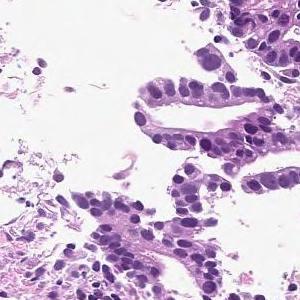
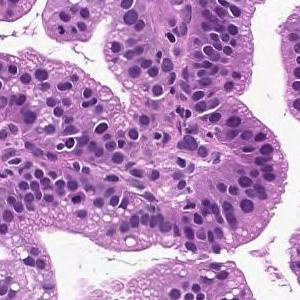
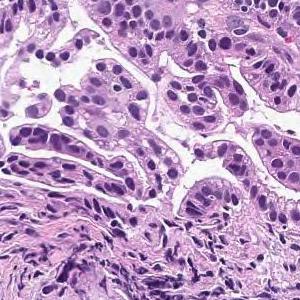
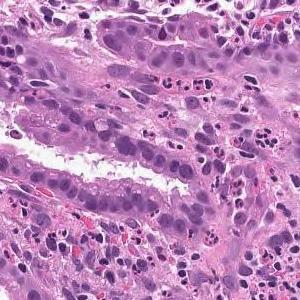
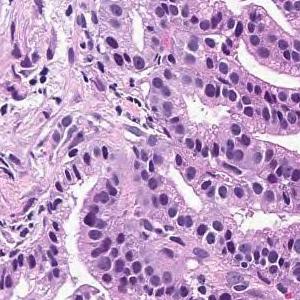
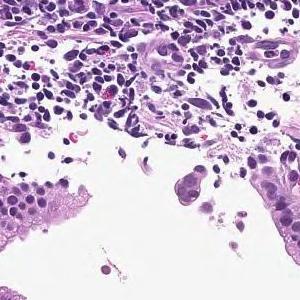
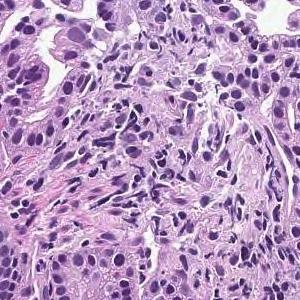
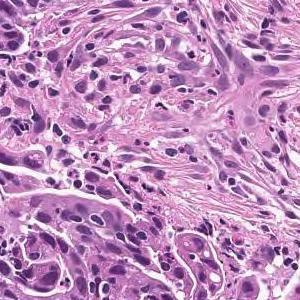
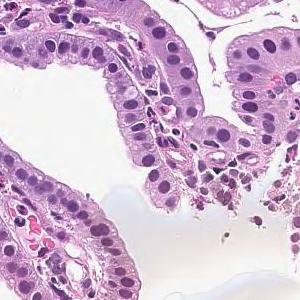
×20, hematoxylin and eosin stain, 9 patches cut from one gastric biopsy slide, each 300 × 300 pixels.
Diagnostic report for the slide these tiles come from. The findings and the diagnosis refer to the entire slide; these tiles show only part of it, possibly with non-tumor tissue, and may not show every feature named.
On the superficial epithelium, tumor tissue that infiltrates by forming medium-sized papillary or small irregular ducts is observed. Papillary adenocarcinoma
